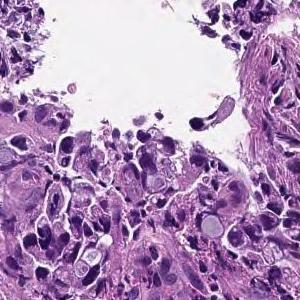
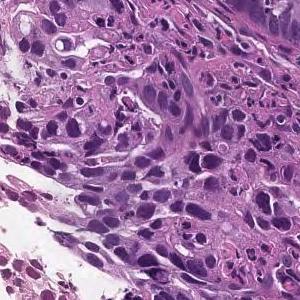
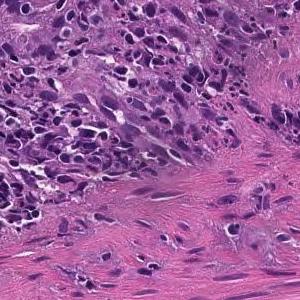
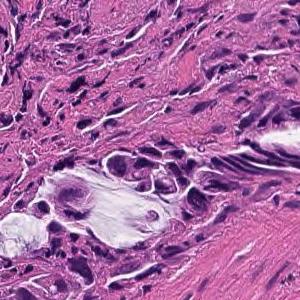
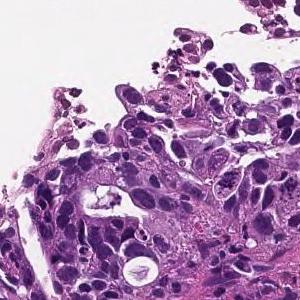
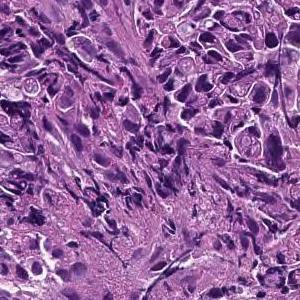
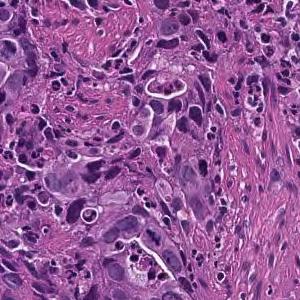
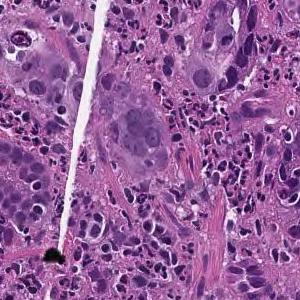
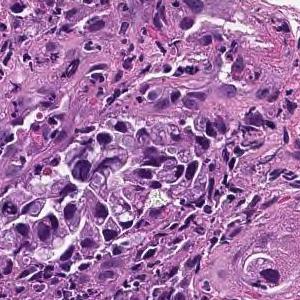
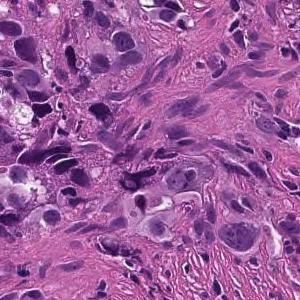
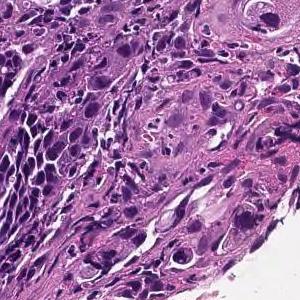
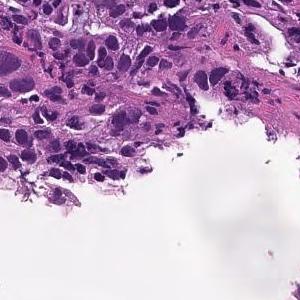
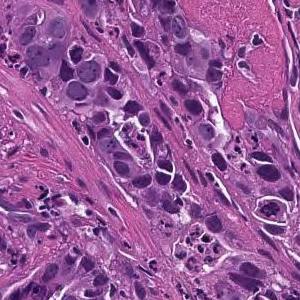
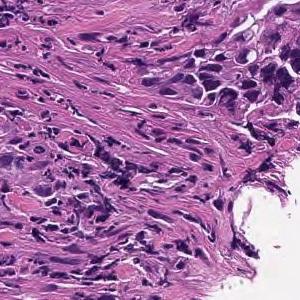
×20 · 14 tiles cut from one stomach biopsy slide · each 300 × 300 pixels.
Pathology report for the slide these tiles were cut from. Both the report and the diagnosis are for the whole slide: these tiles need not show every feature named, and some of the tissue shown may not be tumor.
Tumor tissue consisting of medium-sized, cord-like or irregular glandular infiltration is observed in the superficial epithelium. Poorly differentiated adenocarcinoma, non-solid type or moderately differentiated tubular adenocarcinoma
Histological subtype: Moderately to poorly differentiated adenocarcinoma.
The non-solid type named here is a Japanese Classification of Gastric Carcinoma category.
